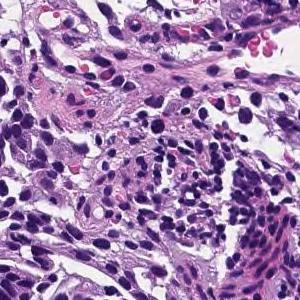
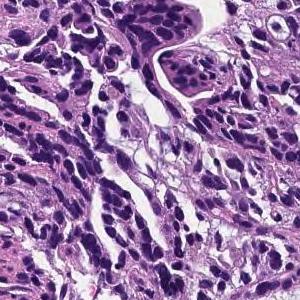
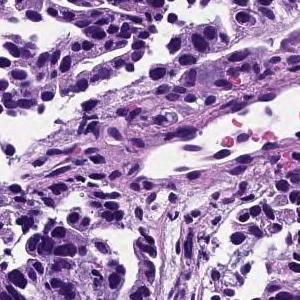
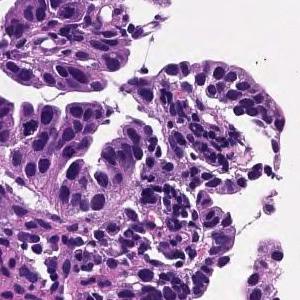
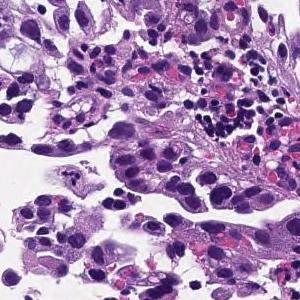
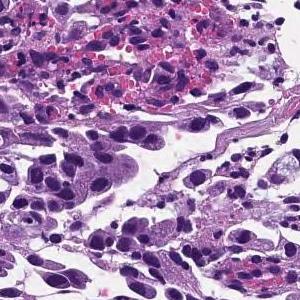
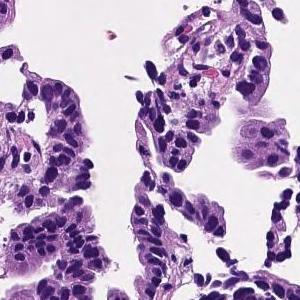
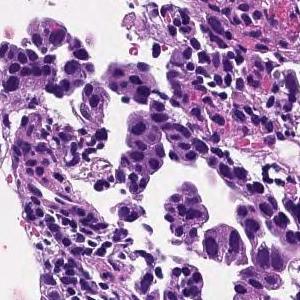
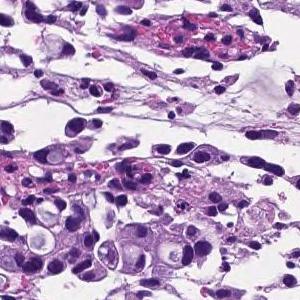
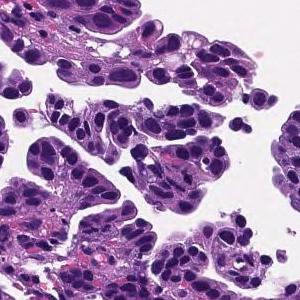
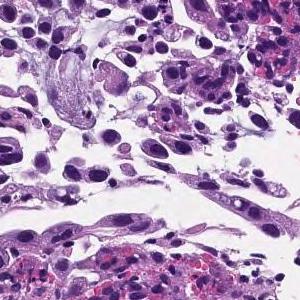
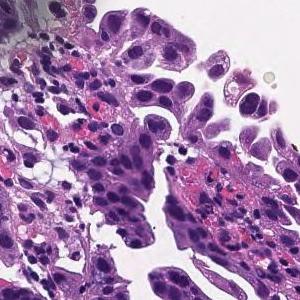
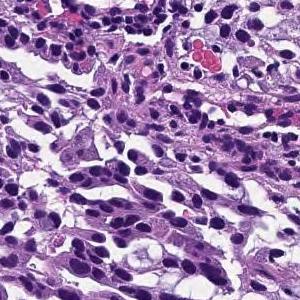
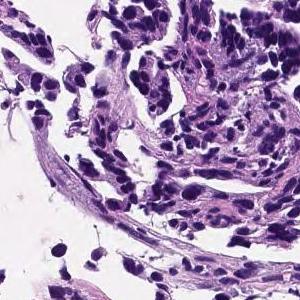
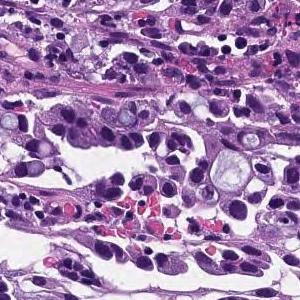
15 image tiles from a single gastric biopsy slide; ×20; H&E.
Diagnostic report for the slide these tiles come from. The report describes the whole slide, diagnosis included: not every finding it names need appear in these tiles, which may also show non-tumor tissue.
Tumor tissue consisting of medium-sized, cord-like or irregular glandular infiltration is observed in the superficial epithelium. Poorly differentiated adenocarcinoma, non-solid type or moderately differentiated tubular adenocarcinoma
Histologic type: Moderately to poorly differentiated adenocarcinoma.
The non-solid type named here is a Japanese Classification of Gastric Carcinoma category.
